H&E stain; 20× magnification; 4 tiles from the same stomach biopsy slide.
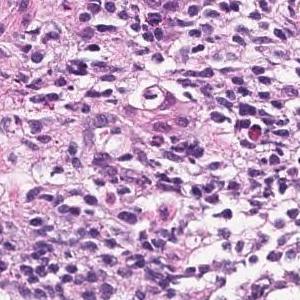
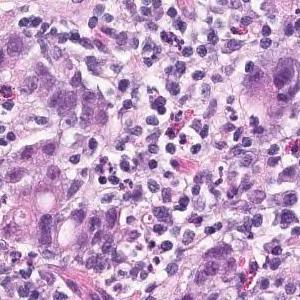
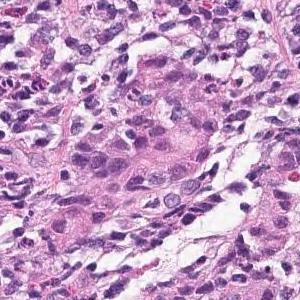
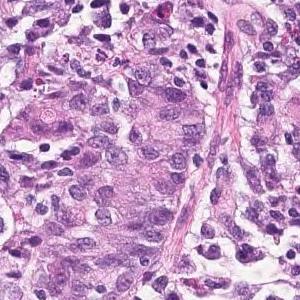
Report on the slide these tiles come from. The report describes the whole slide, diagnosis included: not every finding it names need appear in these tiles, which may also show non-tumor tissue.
Medium to small atypical epithelial cells that become cord-like or irregularly agglomerated and infiltrate. Poorly differentiated adenocarcinoma
Subtype: Poorly differentiated adenocarcinoma, solid type (Japanese Classification of Gastric Carcinoma). The WHO 2019 equivalent is tubular adenocarcinoma, poorly differentiated.
